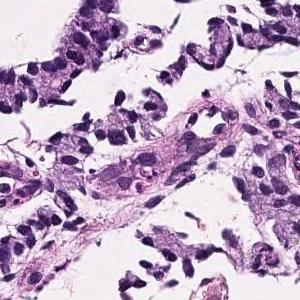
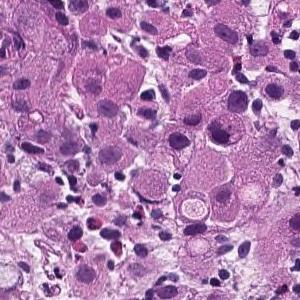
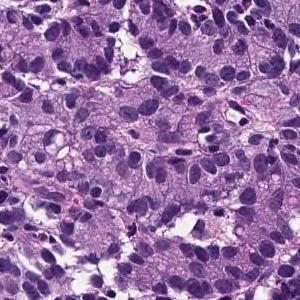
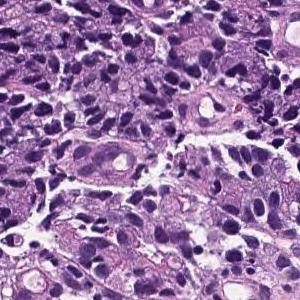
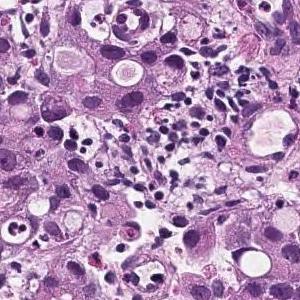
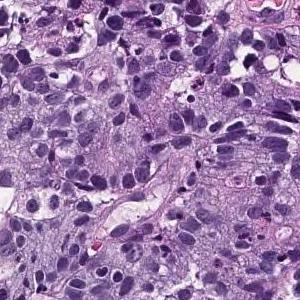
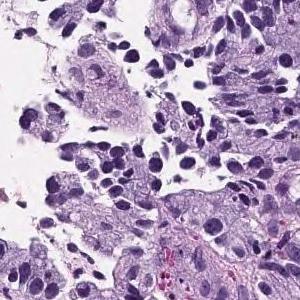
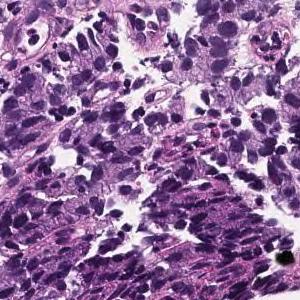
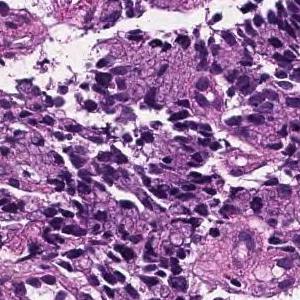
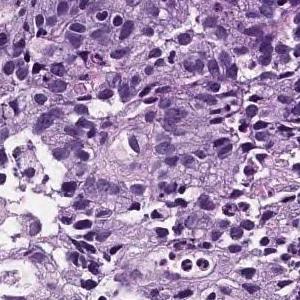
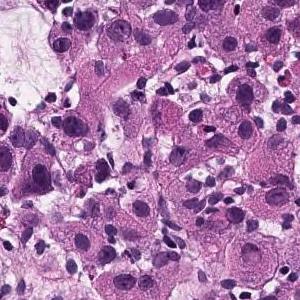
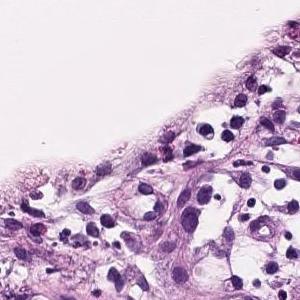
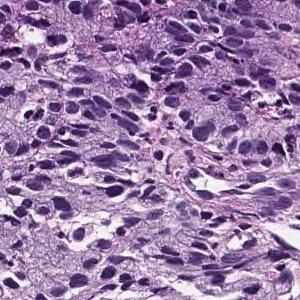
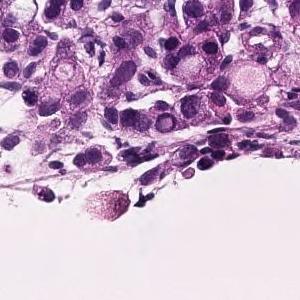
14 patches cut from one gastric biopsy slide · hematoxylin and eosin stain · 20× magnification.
Report on the slide these tiles come from. The findings and the diagnosis refer to the entire slide; these tiles show only part of it, possibly with non-tumor tissue, and may not show every feature named.
Tumor tissue infiltrated by irregular fusion of small cord-like structures is found in the superficial epithelium. Poorly differentiated adenocarcinoma, non-solid type
The non-solid type named here is a Japanese Classification of Gastric Carcinoma category.
